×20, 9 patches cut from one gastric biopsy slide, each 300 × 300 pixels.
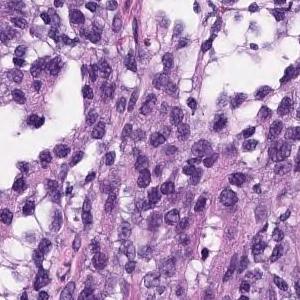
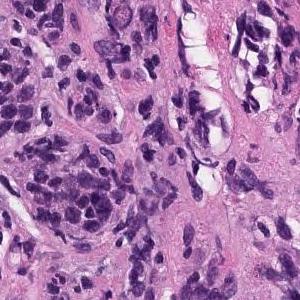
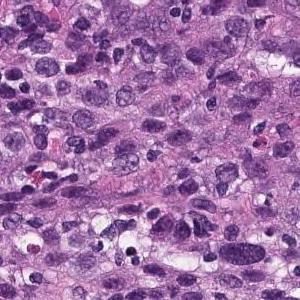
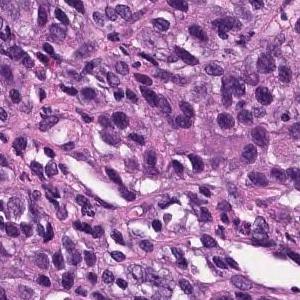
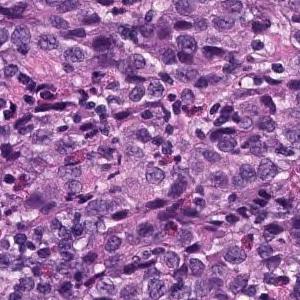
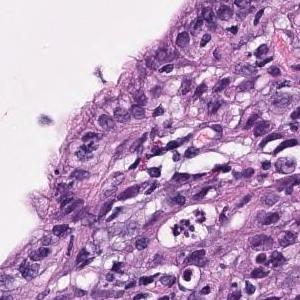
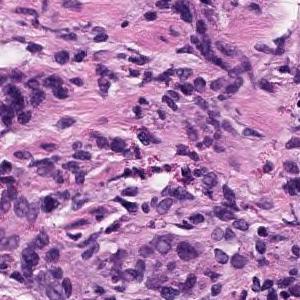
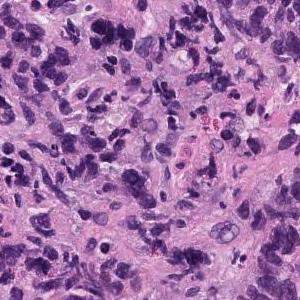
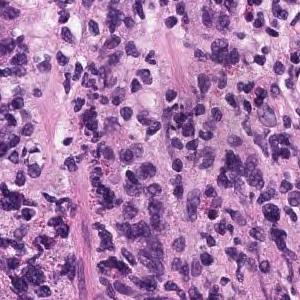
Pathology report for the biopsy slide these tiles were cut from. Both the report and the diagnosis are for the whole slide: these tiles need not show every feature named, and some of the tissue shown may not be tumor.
In the superficial epithelium, tumor tissue that invades by forming medium-sized to small, irregular ducts is observed. Moderately differentiated adenocarcinoma.
Classified as moderately differentiated tubular adenocarcinoma.
